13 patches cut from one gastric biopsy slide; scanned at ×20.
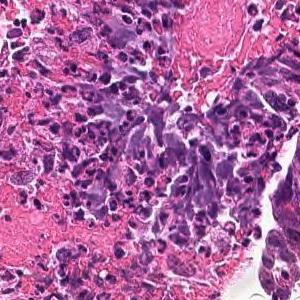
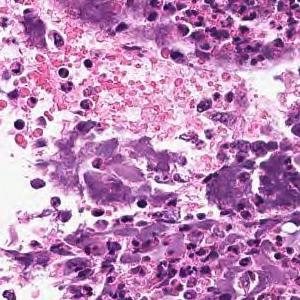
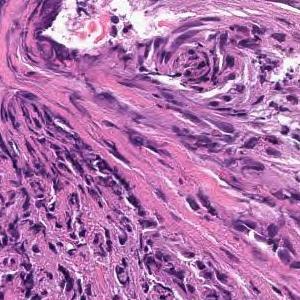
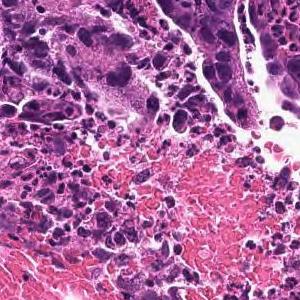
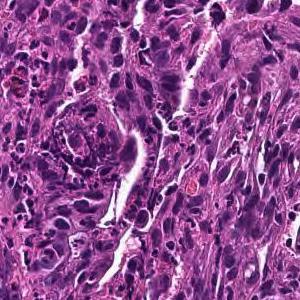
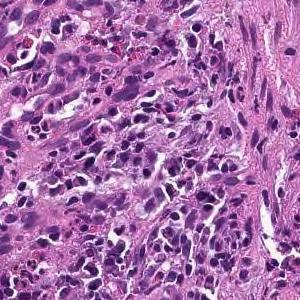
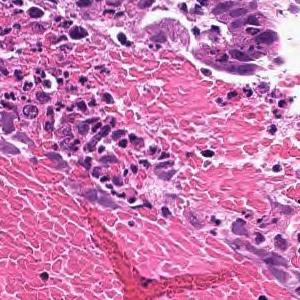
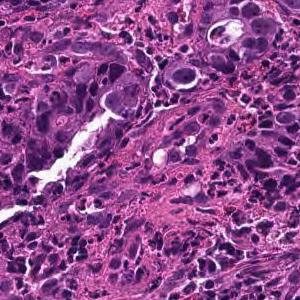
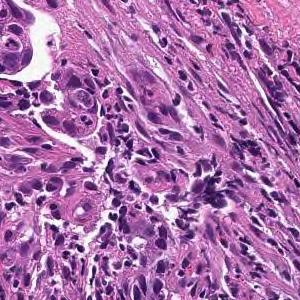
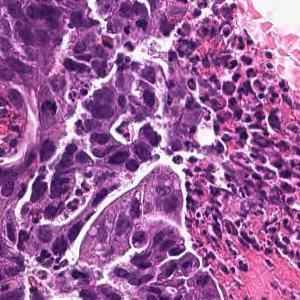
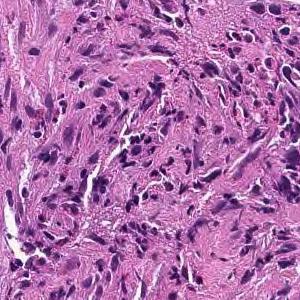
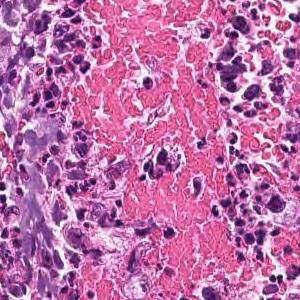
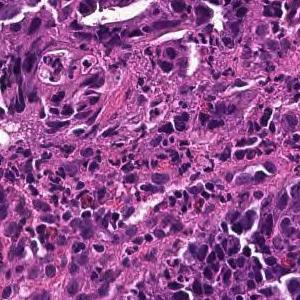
The pathologist's report on the biopsy slide these tiles were taken from. The report and the diagnosis describe the slide as a whole, so these tiles may not show every feature named and may include non-tumor tissue.
In the superficial epithelium, tumor tissue that invades by forming medium-sized to small, irregular ducts is observed. moderately differentiated tubular adenocarcinoma.
